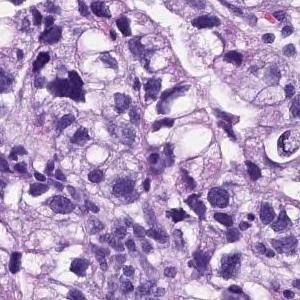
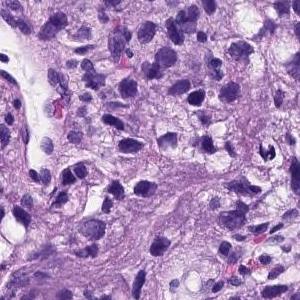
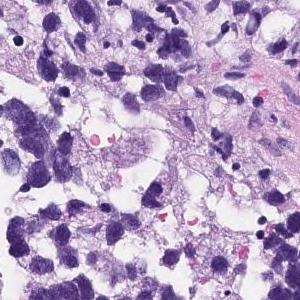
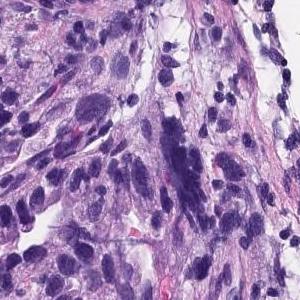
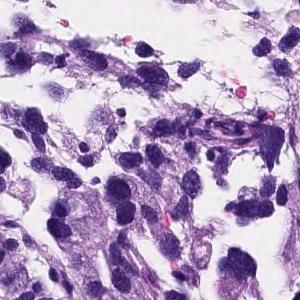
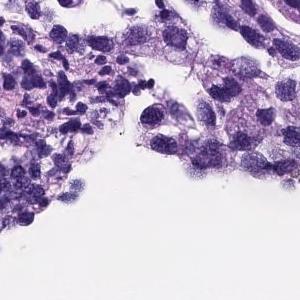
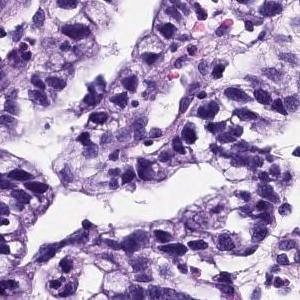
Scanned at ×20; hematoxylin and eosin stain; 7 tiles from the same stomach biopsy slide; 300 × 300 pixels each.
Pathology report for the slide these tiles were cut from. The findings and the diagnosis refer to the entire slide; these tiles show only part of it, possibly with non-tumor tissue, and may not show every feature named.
Medium to small, irregular glandular ducts are formed in the superficial epithelium, and in some cases, the glandular ducts are fused to show solid alveolar lesions and infiltrating tumor tissue is observed. Poorly differentiated adenocarcinoma, Moderately differentiated adenocarcinoma.
Dataset label: moderately differentiated tubular adenocarcinoma.
